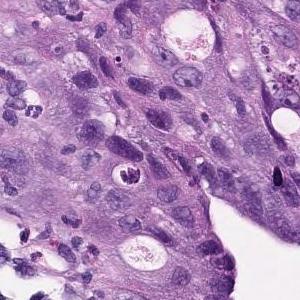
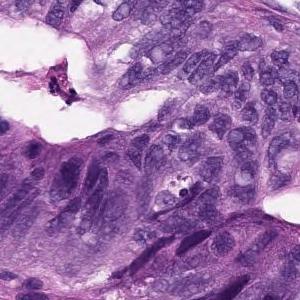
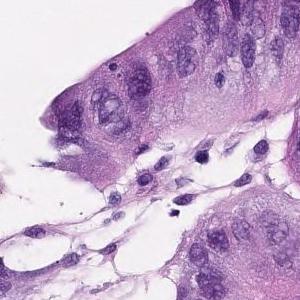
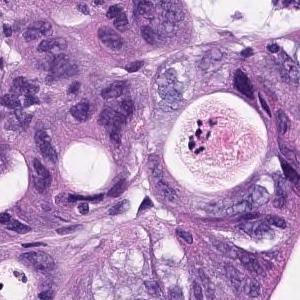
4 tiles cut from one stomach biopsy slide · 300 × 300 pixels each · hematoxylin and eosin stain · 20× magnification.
The pathologist's report on the biopsy slide these tiles were taken from. The report and the diagnosis describe the slide as a whole, so these tiles may not show every feature named and may include non-tumor tissue.
In the superficial epithelium, tumor tissue that invades by forming medium-sized to small, irregular ducts is observed. Moderately differentiated adenocarcinoma.
Classified as moderately differentiated tubular adenocarcinoma.
